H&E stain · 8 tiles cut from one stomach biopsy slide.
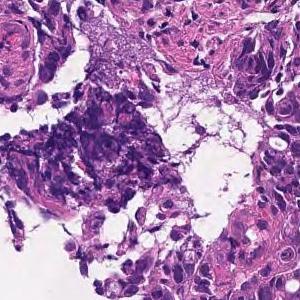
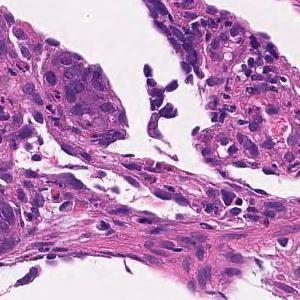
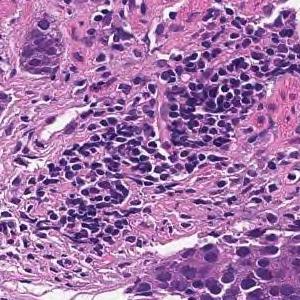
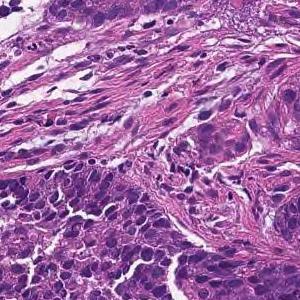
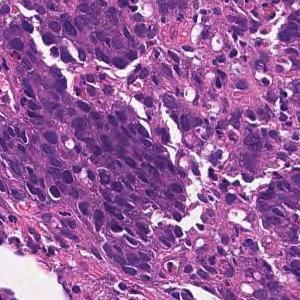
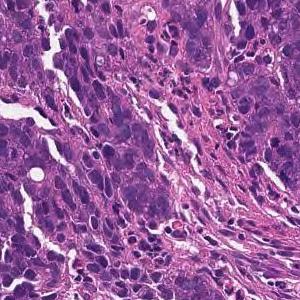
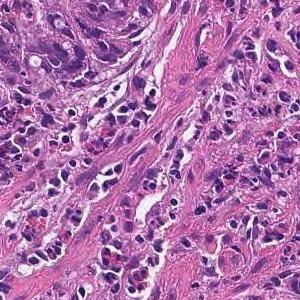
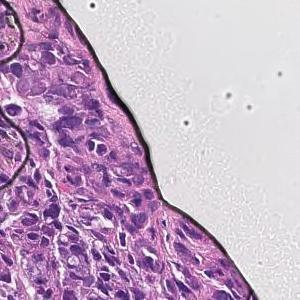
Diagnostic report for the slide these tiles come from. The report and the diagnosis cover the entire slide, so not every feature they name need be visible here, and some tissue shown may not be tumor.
Tumor tissue consisting of cord-like or small, irregular glandular ducts fused and infiltrated is observed in the superficial epithelium. Poorly differentiated adenocarcinoma, non-solid type
The term "non-solid type" comes from the Japanese Classification of Gastric Carcinoma.
